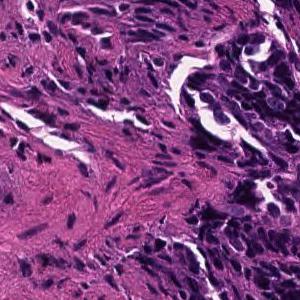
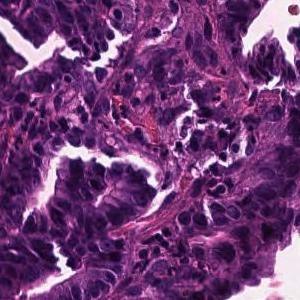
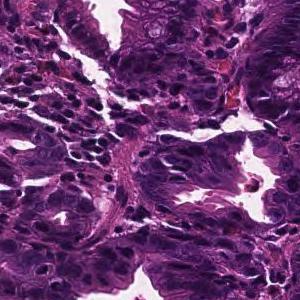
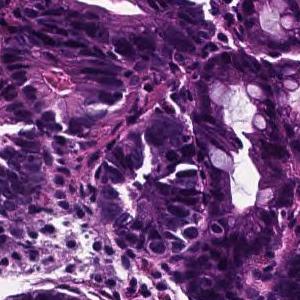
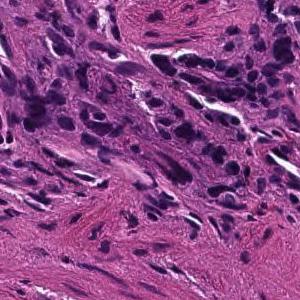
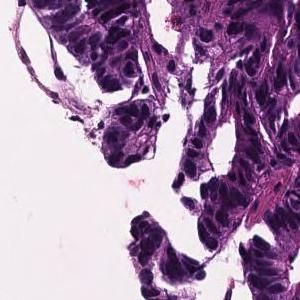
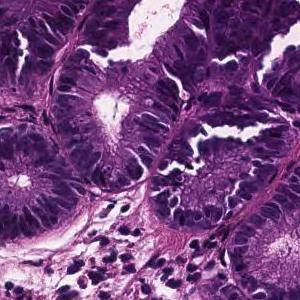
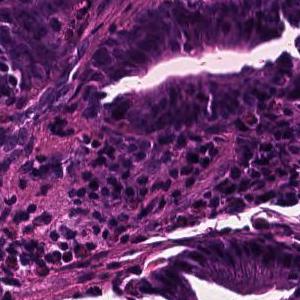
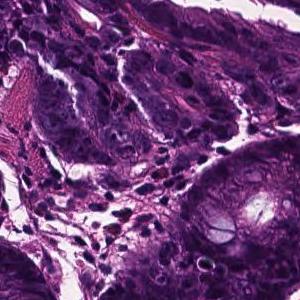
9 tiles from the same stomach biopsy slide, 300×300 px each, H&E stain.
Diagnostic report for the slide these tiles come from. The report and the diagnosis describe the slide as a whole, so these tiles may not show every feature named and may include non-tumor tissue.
In the superficial epithelium, tumor tissue that invades by forming medium-sized to small, irregular ducts is observed. moderately differentiated tubular adenocarcinoma.
